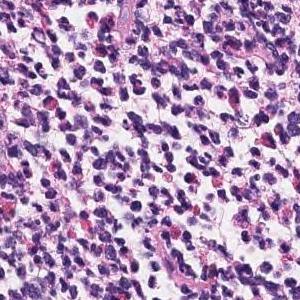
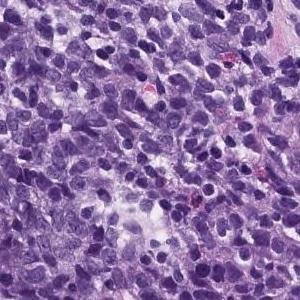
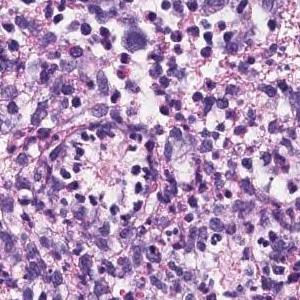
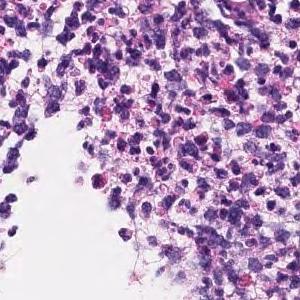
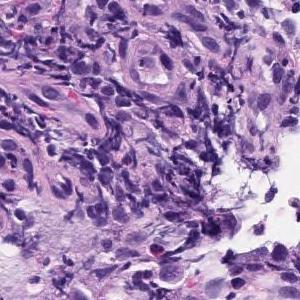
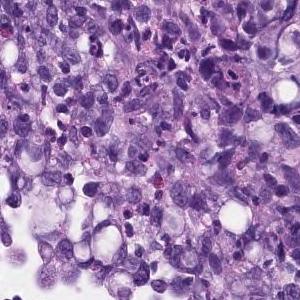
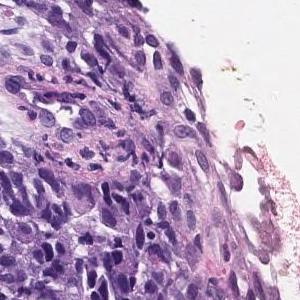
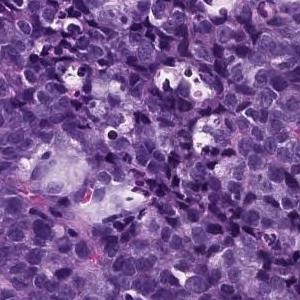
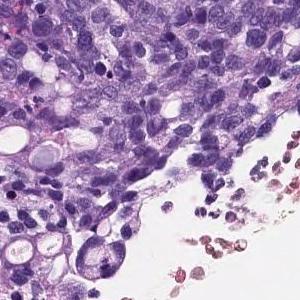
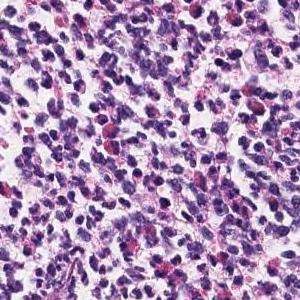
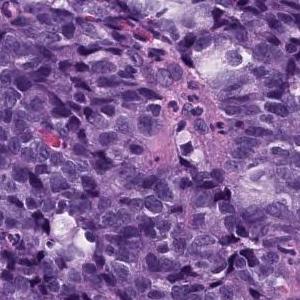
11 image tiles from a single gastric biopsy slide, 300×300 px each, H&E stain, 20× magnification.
Pathology report for the slide these tiles were cut from. The report and the diagnosis describe the slide as a whole, so these tiles may not show every feature named and may include non-tumor tissue.
The superficial epithelium shows a large sheet-like shape, and some tumor tissue infiltrates with small irregular ducts. Poorly differentiated adenocarcinoma, solid-type
Tumor subtype: poorly differentiated adenocarcinoma, solid type. This name comes from the Japanese Classification of Gastric Carcinoma; the WHO 2019 classification calls it tubular adenocarcinoma, poorly differentiated.
